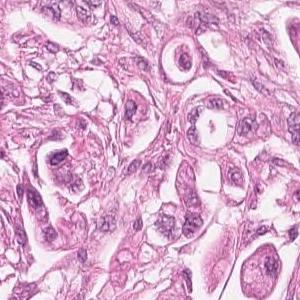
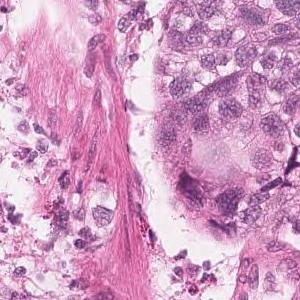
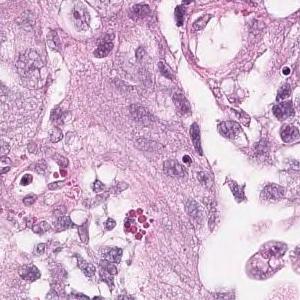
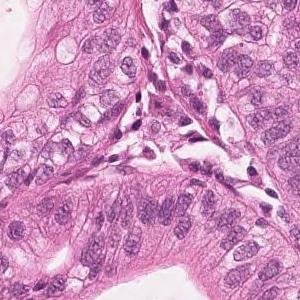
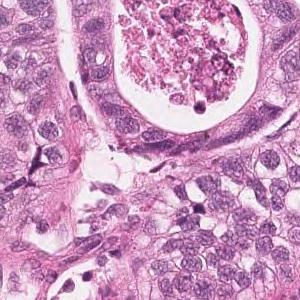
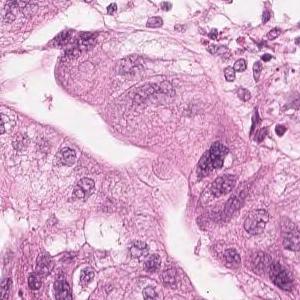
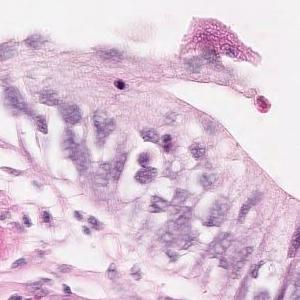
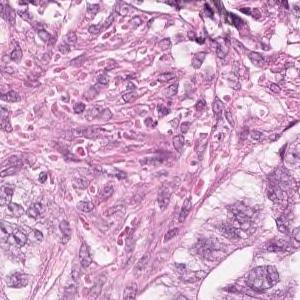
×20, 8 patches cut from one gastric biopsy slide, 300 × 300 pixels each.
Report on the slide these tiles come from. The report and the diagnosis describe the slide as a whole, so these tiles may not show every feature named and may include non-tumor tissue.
Highly columnar epithelium with disordered nuclear localization proliferates showing fusion ductal construction. moderately differentiated tubular adenocarcinoma
